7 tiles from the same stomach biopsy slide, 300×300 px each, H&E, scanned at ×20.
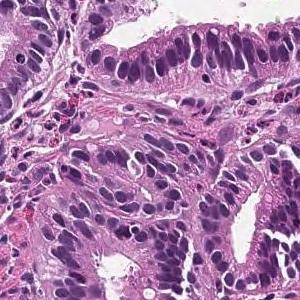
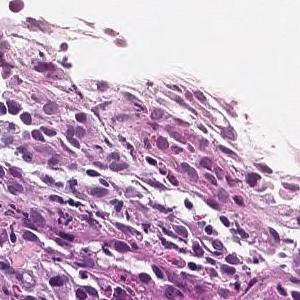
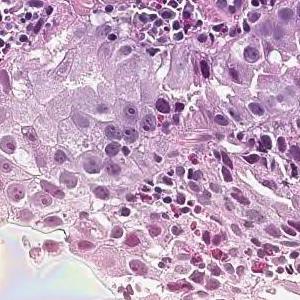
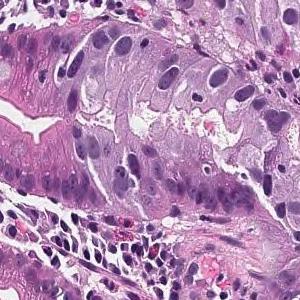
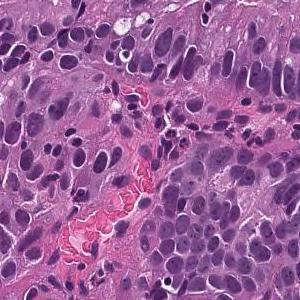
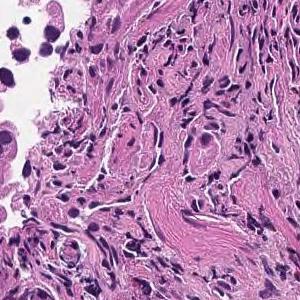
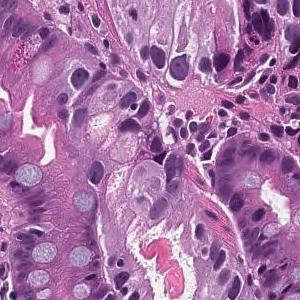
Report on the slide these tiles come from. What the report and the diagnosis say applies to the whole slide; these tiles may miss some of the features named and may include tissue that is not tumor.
From the superficial epithelium to the muscularis mucosae, tumor tissue consisting of medium-sized and irregular glandular ducts infiltrating is observed. Well differentiated tubular adenocarcinoma
